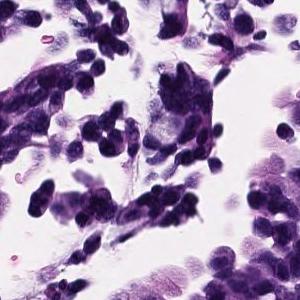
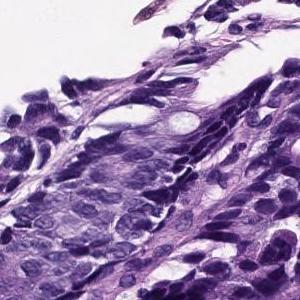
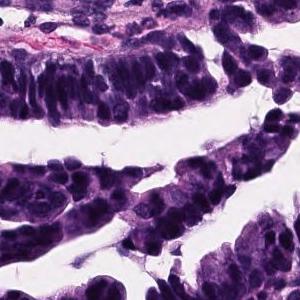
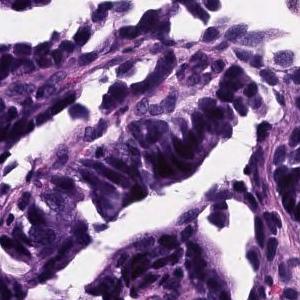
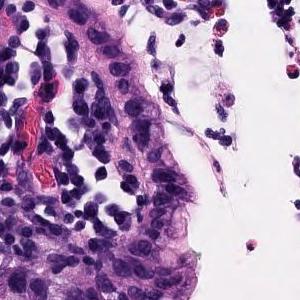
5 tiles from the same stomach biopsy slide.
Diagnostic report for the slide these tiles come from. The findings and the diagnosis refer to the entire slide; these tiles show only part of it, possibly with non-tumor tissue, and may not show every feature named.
Atypical epithelium proliferating showing villus construction and irregular gland duct construction is observed. Moderately differentiated tubular adenocarcinoma.
